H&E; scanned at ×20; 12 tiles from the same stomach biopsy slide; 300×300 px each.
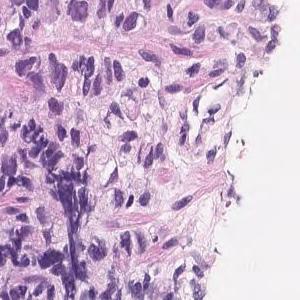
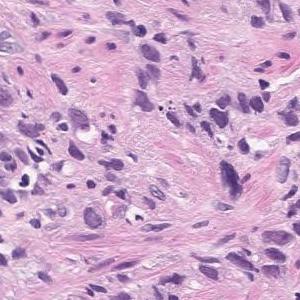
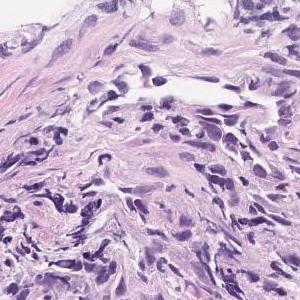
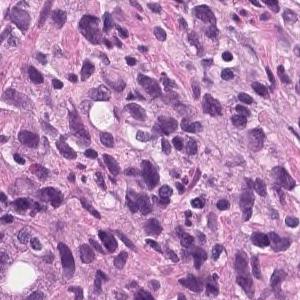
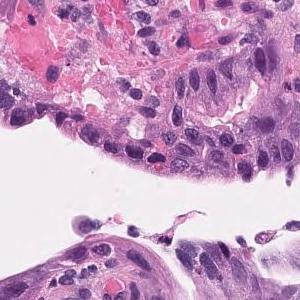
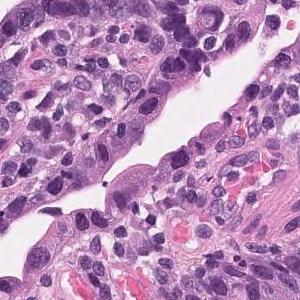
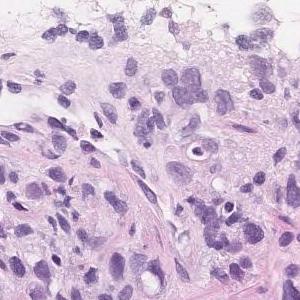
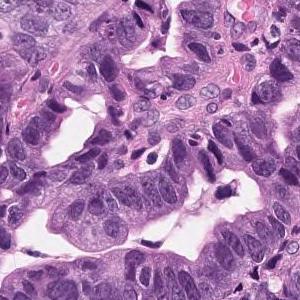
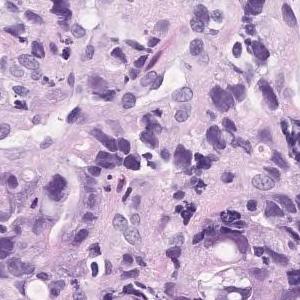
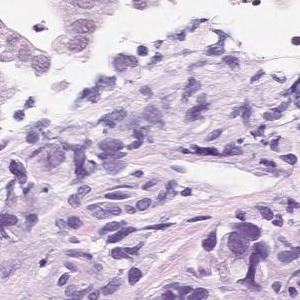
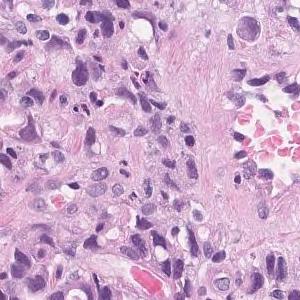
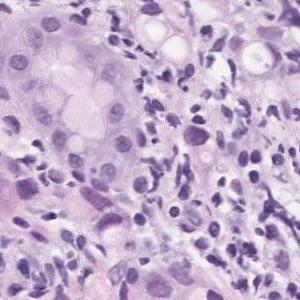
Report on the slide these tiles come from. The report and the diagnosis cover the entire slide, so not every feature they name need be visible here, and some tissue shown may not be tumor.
Tumor tissue consisting of medium-sized, cord-like or irregular glandular infiltration is observed in the superficial epithelium. Poorly differentiated adenocarcinoma, non-solid type or moderately differentiated tubular adenocarcinoma
Dataset label: poorly differentiated adenocarcinoma, non-solid type.
The term "non-solid type" comes from the Japanese Classification of Gastric Carcinoma.
